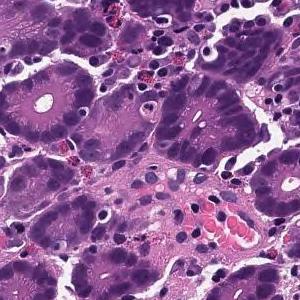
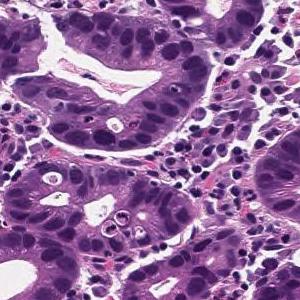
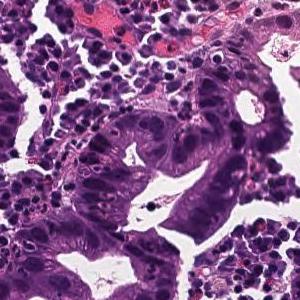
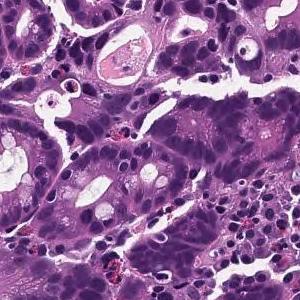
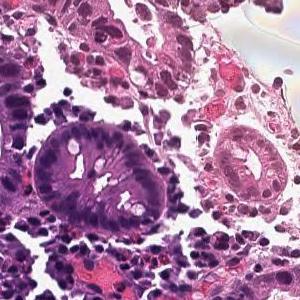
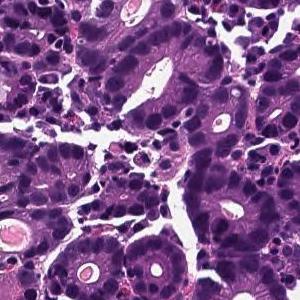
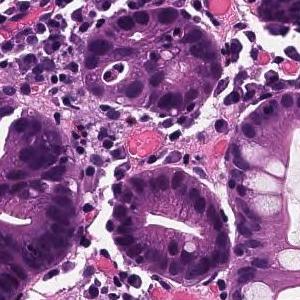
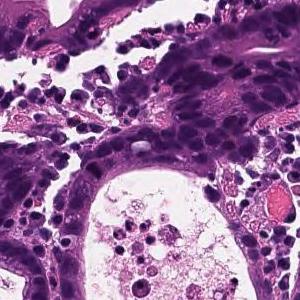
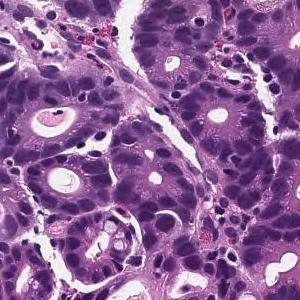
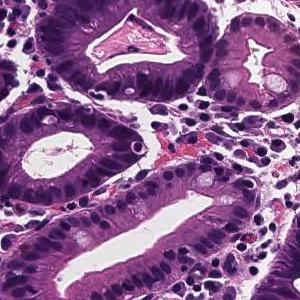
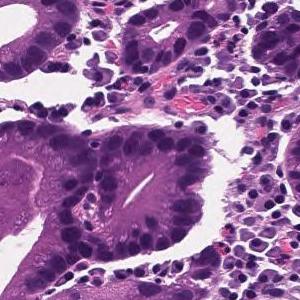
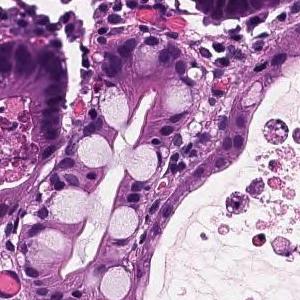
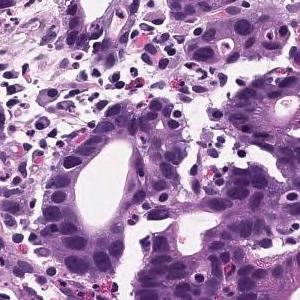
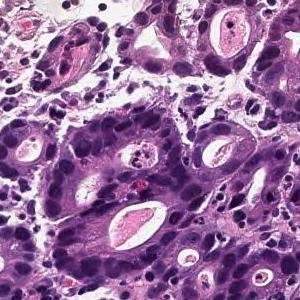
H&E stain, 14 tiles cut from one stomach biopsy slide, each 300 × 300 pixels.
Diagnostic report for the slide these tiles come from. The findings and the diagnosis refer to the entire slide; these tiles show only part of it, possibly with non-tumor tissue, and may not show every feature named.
Cancer cells with strongly atypical nuclei grow while forming ducts showing lumens of various sizes. moderately differentiated tubular adenocarcinoma
